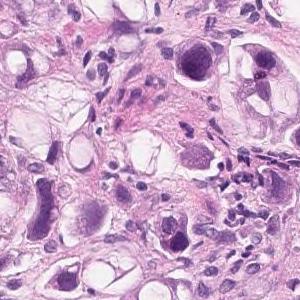
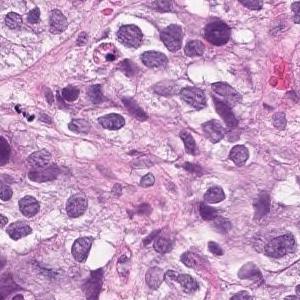
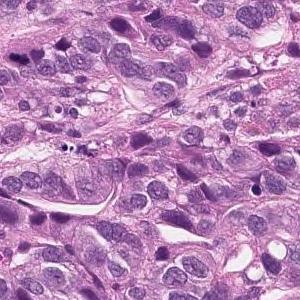
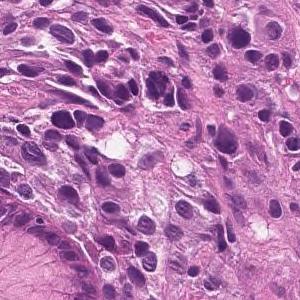
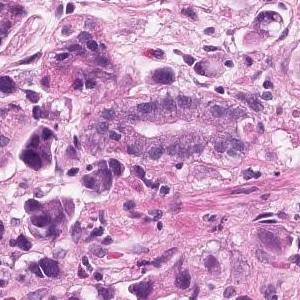
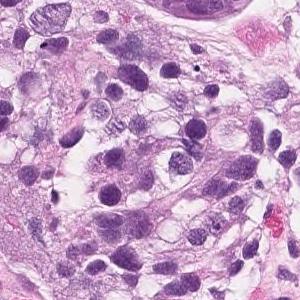
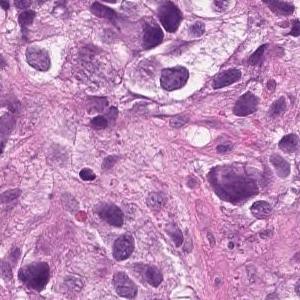
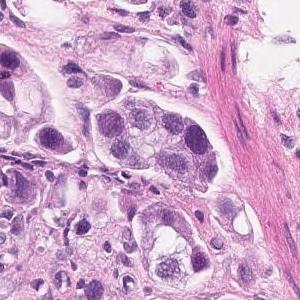
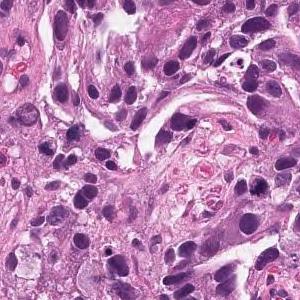
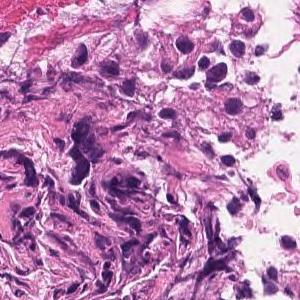
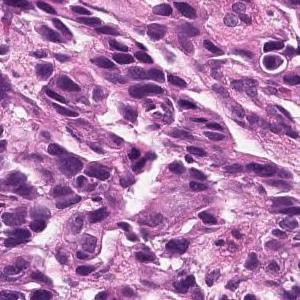
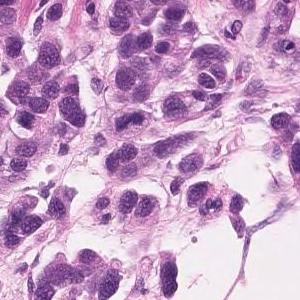
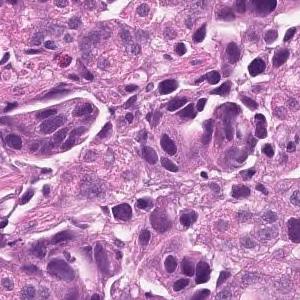
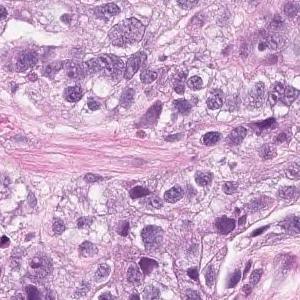
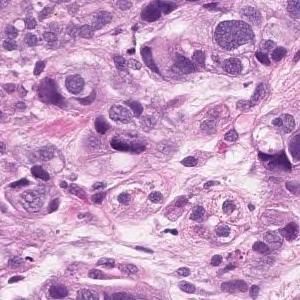
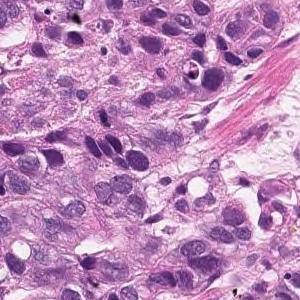
Hematoxylin and eosin stain · 16 tiles from the same stomach biopsy slide.
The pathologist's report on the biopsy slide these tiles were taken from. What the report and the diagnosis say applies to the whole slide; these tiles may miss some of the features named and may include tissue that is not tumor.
Tumor tissue that infiltrates the epithelium in an alveolar manner. Poorly differentiated adenocarcinoma, solid-type
Subtype: Poorly differentiated adenocarcinoma, solid type (Japanese Classification of Gastric Carcinoma). The WHO 2019 equivalent is tubular adenocarcinoma, poorly differentiated.
